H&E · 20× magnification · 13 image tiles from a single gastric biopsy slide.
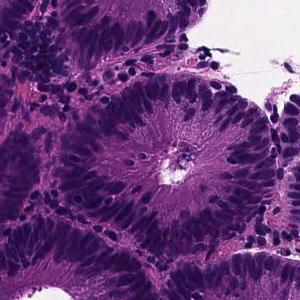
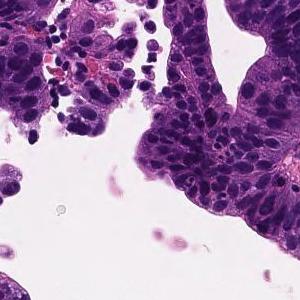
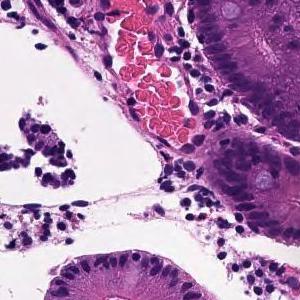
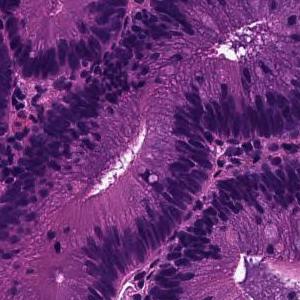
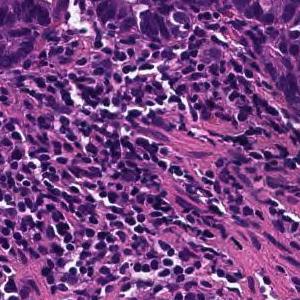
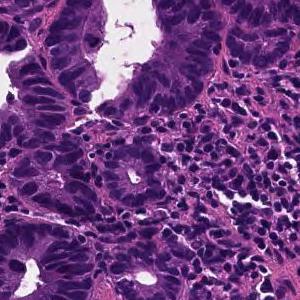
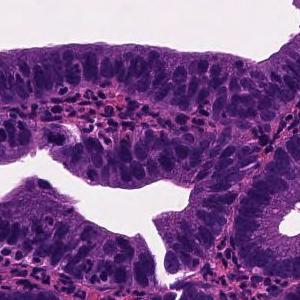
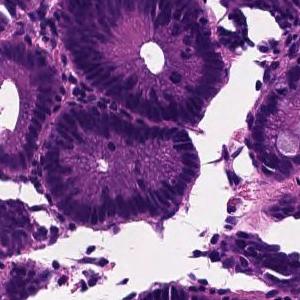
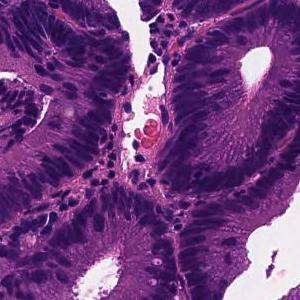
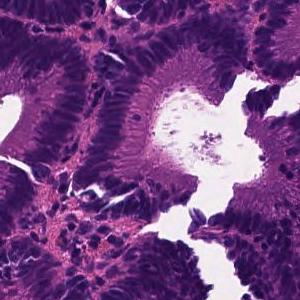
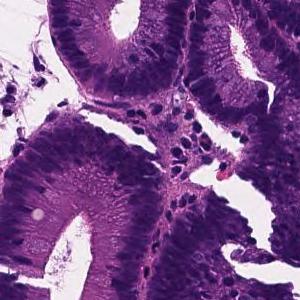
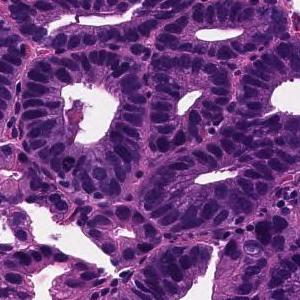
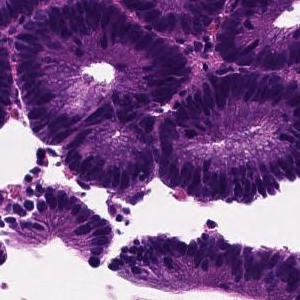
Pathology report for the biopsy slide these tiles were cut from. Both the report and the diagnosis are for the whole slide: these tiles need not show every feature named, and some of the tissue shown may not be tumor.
Tumor tissue in which medium to small irregular ducts infiltrate and proliferate in the submucosa can be seen in the epithelium. Well differentiated tubular adenocarcinoma
